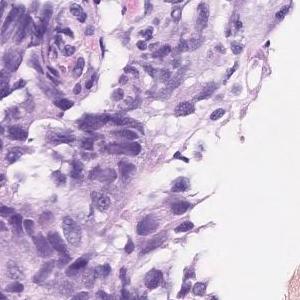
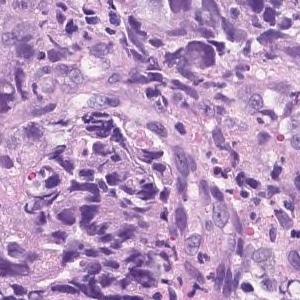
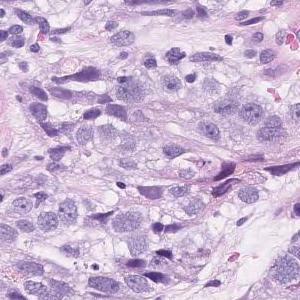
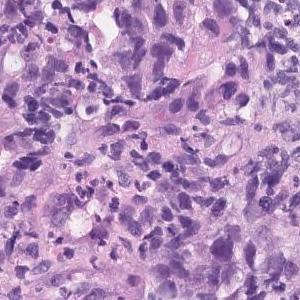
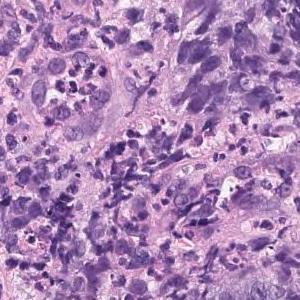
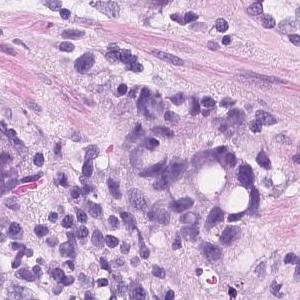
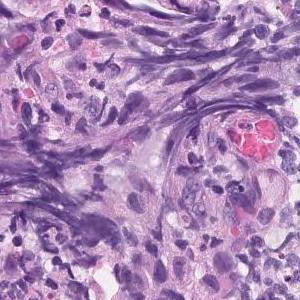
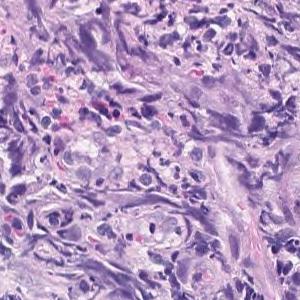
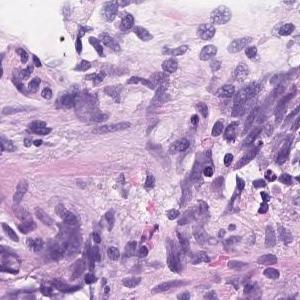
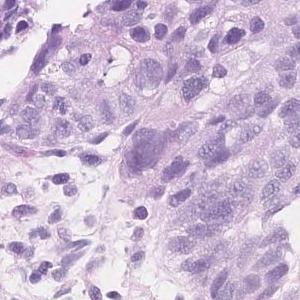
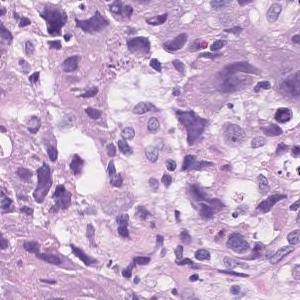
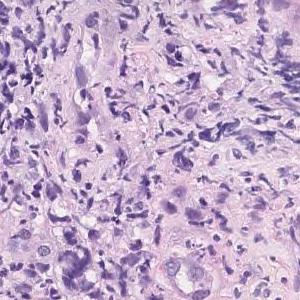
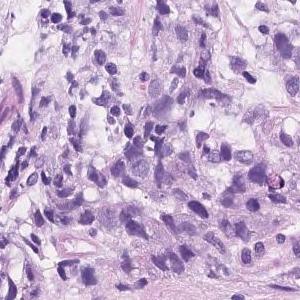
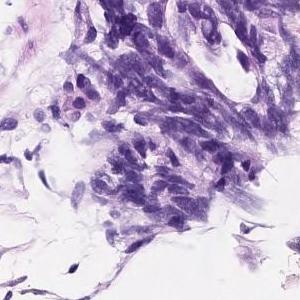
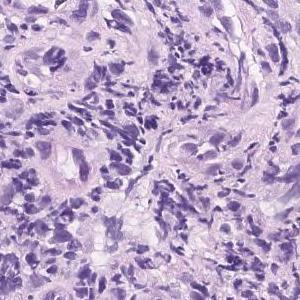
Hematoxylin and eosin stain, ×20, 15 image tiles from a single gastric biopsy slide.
Pathology report for the biopsy slide these tiles were cut from. The report and the diagnosis describe the slide as a whole, so these tiles may not show every feature named and may include non-tumor tissue.
Atypical epithelial cells infiltrating and proliferating diffusely or while forming vesicles is observed. Poorly differentiated adenocarcinoma (poorly differentiated adenocarcinoma, solid type moderately differentiated tubular adenocarcinoma)
Labeled in the dataset as poorly differentiated adenocarcinoma, solid type, a category of the Japanese Classification of Gastric Carcinoma; in the WHO 2019 classification it is tubular adenocarcinoma, poorly differentiated.
